6 tiles from the same stomach biopsy slide · 300 × 300 pixels each · 20× magnification.
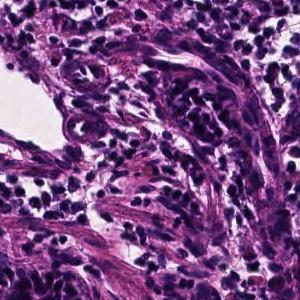
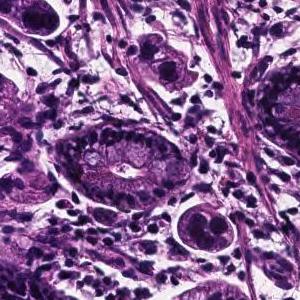
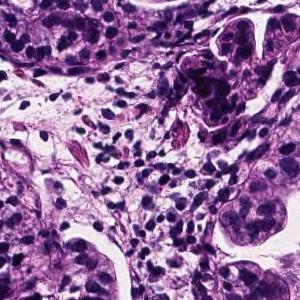
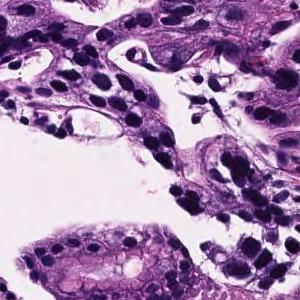
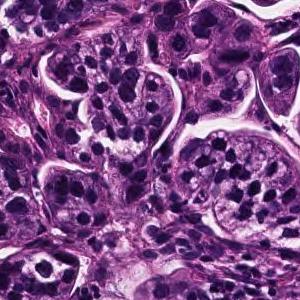
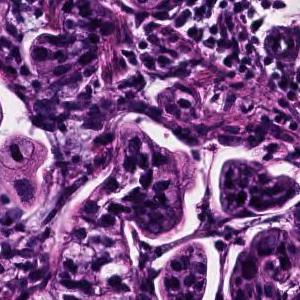
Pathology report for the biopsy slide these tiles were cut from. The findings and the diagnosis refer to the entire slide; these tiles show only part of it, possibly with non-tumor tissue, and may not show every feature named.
Tumor tissue consisting of cord-like or small, irregular glandular ducts fused and infiltrated is observed in the superficial epithelium. Poorly differentiated adenocarcinoma, non-solid type
The term "non-solid type" comes from the Japanese Classification of Gastric Carcinoma.
